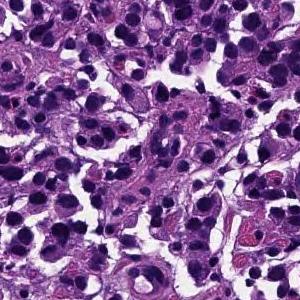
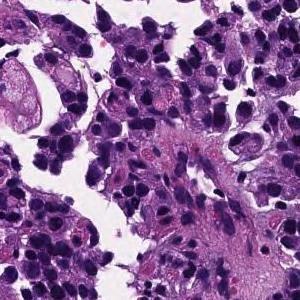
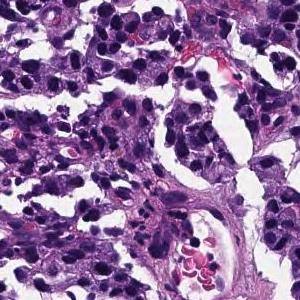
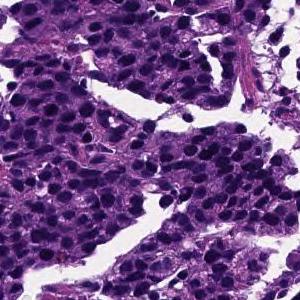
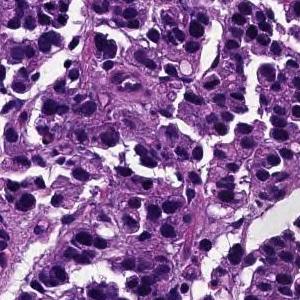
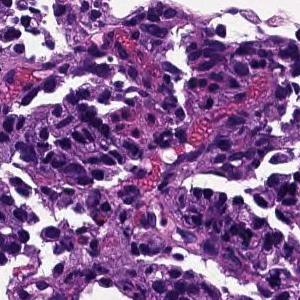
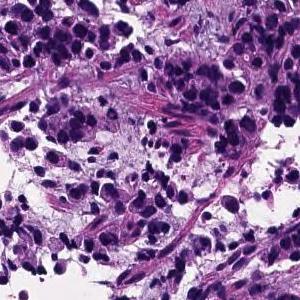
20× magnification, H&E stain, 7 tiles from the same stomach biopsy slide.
Pathology report for the biopsy slide these tiles were cut from. What the report and the diagnosis say applies to the whole slide; these tiles may miss some of the features named and may include tissue that is not tumor.
The superficial epithelium shows a large alveolar shape and infiltrates tumor tissue. Poorly differentiated adenocarcinoma, solid-type
Classified as poorly differentiated adenocarcinoma, solid type. This name comes from the Japanese Classification of Gastric Carcinoma; the WHO 2019 classification calls it tubular adenocarcinoma, poorly differentiated.
